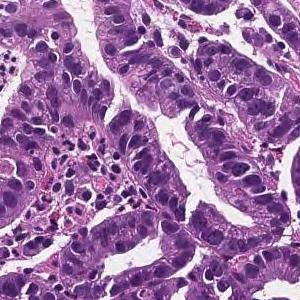
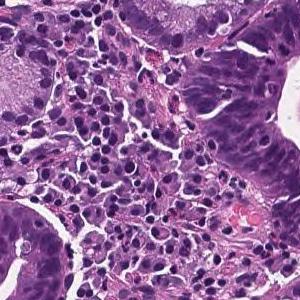
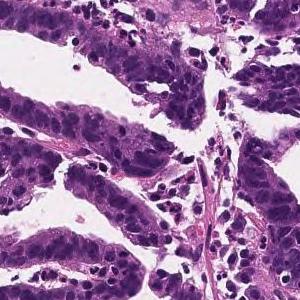
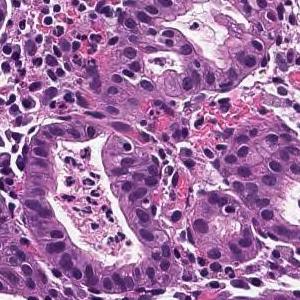
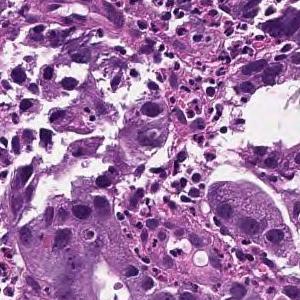
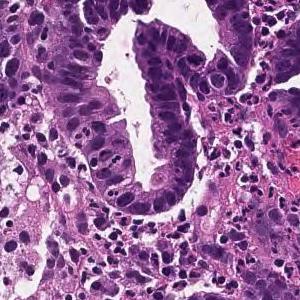
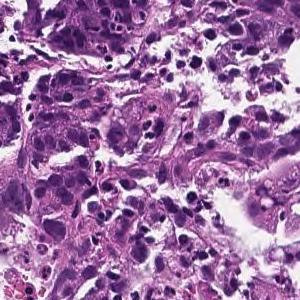
Scanned at ×20; 7 tiles from the same stomach biopsy slide; 300×300 px each.
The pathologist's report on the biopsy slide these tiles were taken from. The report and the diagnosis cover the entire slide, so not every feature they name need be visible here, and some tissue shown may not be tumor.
On the superficial epithelium, tumor tissue consisting of medium-sized irregular or small round gland ducts showing a small cord-like shape and infiltrating is observed. Well differentiated tubular adenocarcinoma or Poorly differentiated adenocarcinoma, non-solid type
The dataset labels this slide well differentiated tubular adenocarcinoma.
The term "non-solid type" comes from the Japanese Classification of Gastric Carcinoma.
